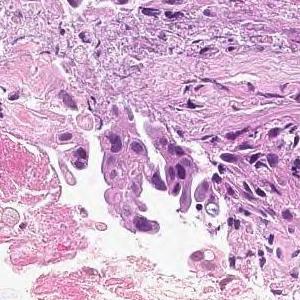
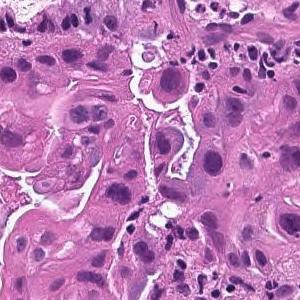
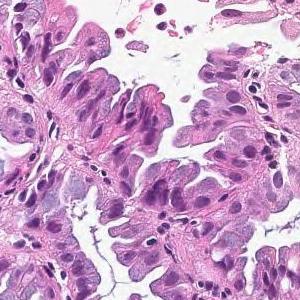
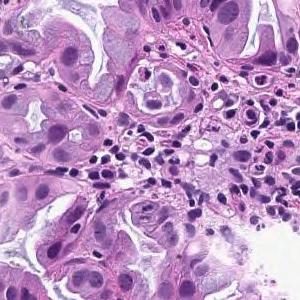
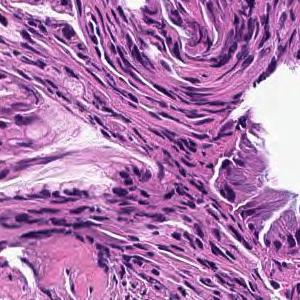
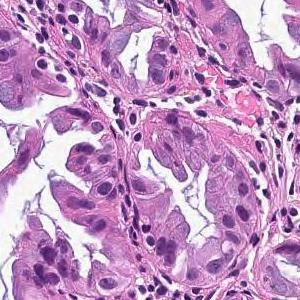
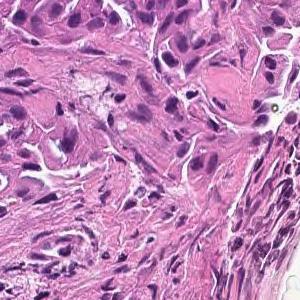
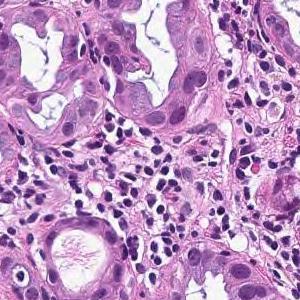
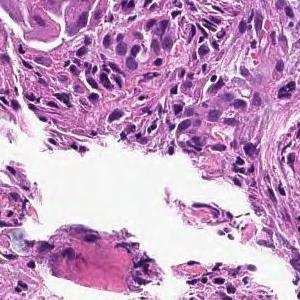
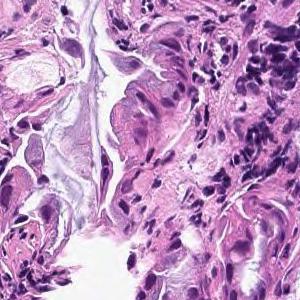
H&E stain, ×20, 10 tiles from the same stomach biopsy slide, each 300 × 300 pixels.
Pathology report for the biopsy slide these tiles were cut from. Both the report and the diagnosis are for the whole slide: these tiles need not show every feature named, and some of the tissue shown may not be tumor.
From the superficial epithelium to the muscularis mucosae, tumor tissue consisting of medium-sized and irregular glandular ducts infiltrating is observed. Well differentiated tubular adenocarcinoma
